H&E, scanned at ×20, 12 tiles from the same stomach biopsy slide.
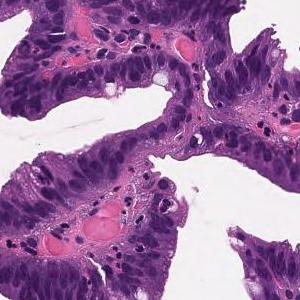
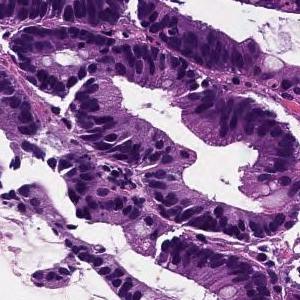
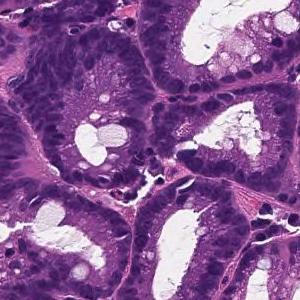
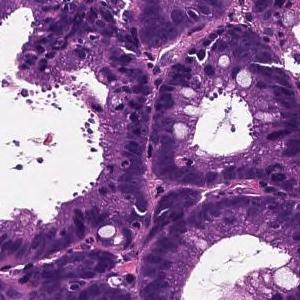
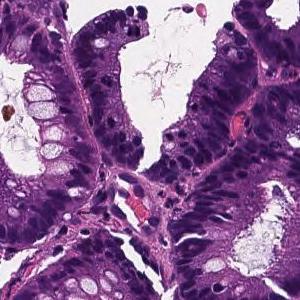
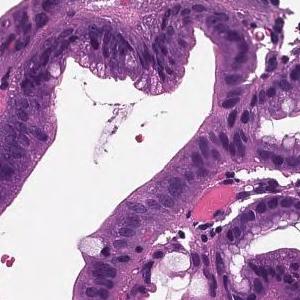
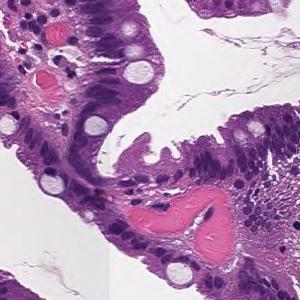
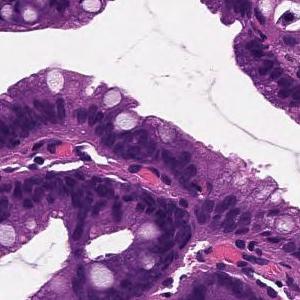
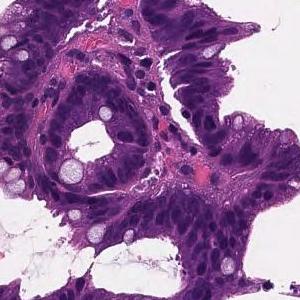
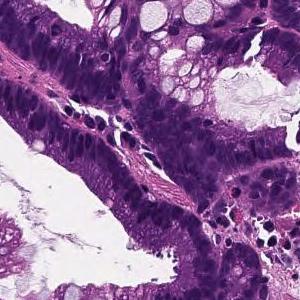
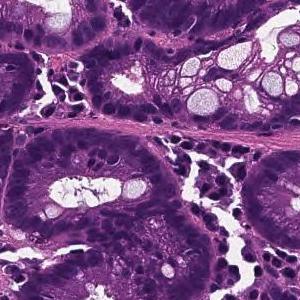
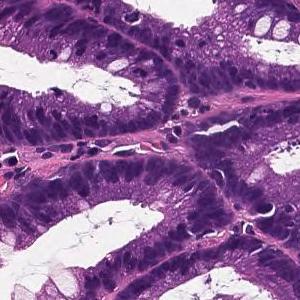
Report on the slide these tiles come from. The report and the diagnosis describe the slide as a whole, so these tiles may not show every feature named and may include non-tumor tissue.
moderately differentiated tubular adenocarcinoma infiltrates in the submucosa massively.
Histological subtype: Moderately differentiated tubular adenocarcinoma.
